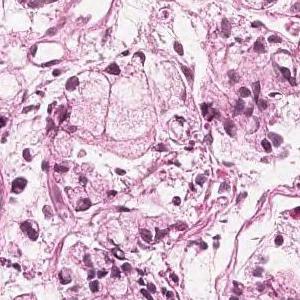
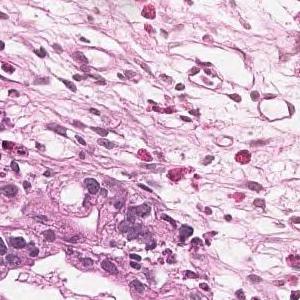
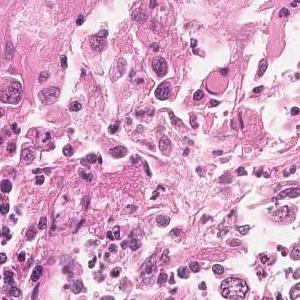
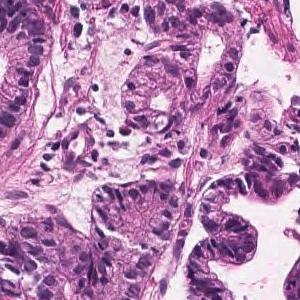
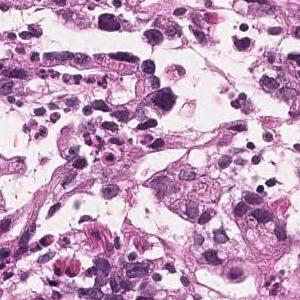
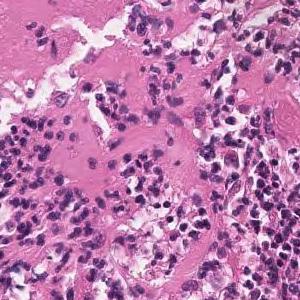
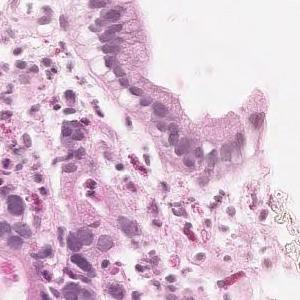
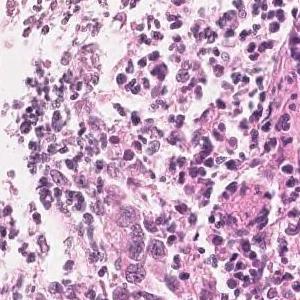
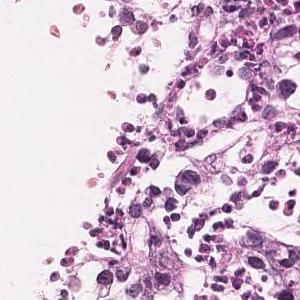
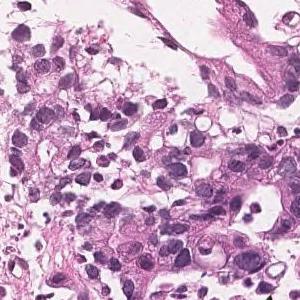
10 tiles cut from one stomach biopsy slide; scanned at ×20; H&E.
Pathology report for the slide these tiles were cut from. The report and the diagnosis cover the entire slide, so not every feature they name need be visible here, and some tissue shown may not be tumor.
In the superficial epithelium, medium to small irregular gland ducts are formed, and in some cases, the ducts are fused to show solid alveolar lesions and infiltrating tumor tissue is observed. Moderately to poorly differentiated adenocarcinoma
